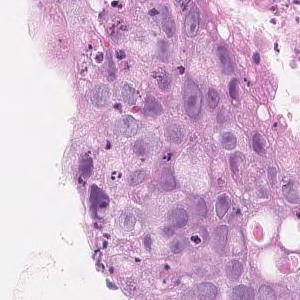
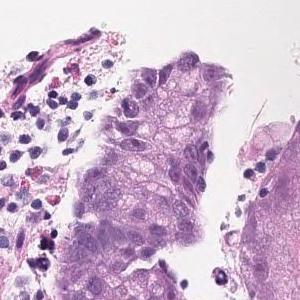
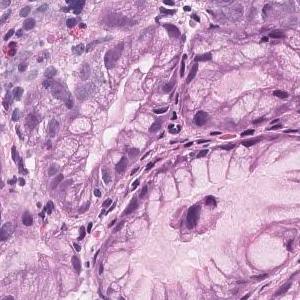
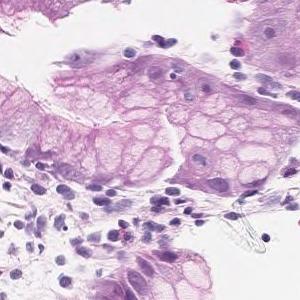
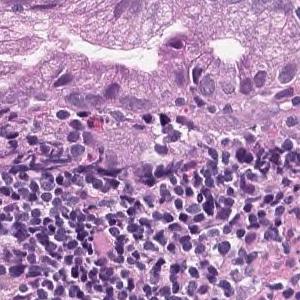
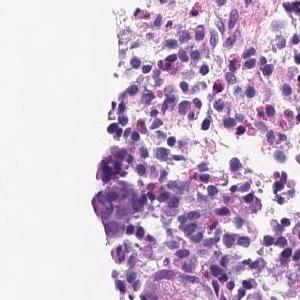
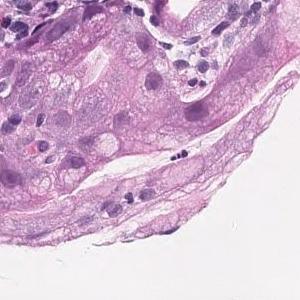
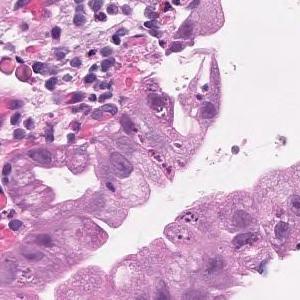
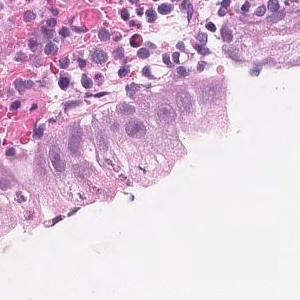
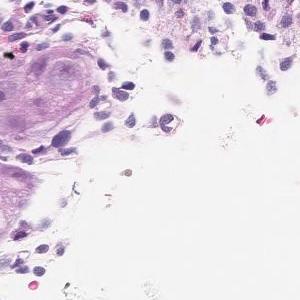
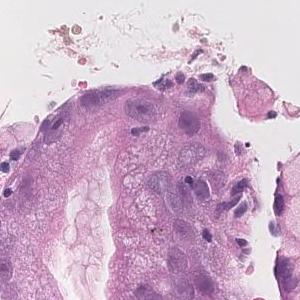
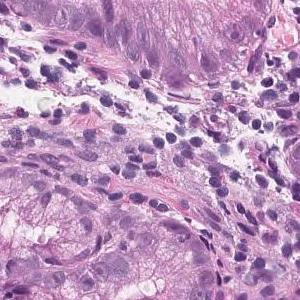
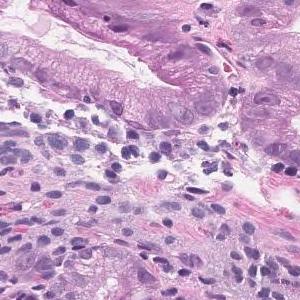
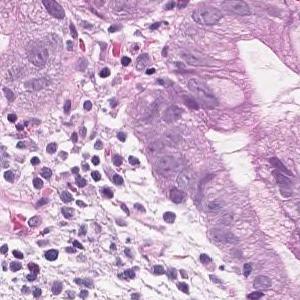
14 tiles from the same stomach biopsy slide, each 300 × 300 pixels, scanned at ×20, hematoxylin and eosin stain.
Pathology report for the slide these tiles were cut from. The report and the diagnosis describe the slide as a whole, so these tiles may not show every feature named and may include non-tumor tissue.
Group 5, Adenocarcinoma. Moderately differentiated tubular adenocarcinoma
